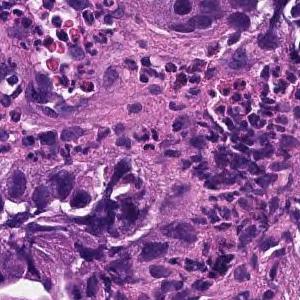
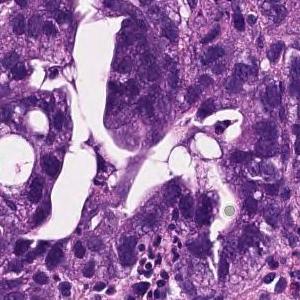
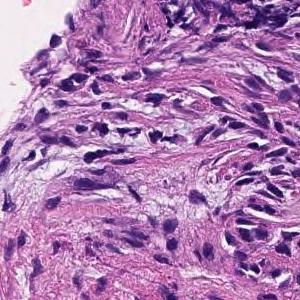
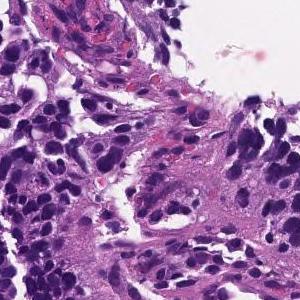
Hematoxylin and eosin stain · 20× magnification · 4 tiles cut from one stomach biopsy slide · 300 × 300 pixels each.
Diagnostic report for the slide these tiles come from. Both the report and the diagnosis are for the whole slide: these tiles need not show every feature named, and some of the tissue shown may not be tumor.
Tumor tissue consisting of large papillary structures is found in the superficial epithelium. Papillary adenocarcinoma.
